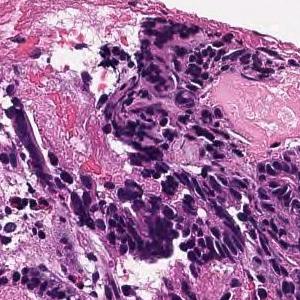
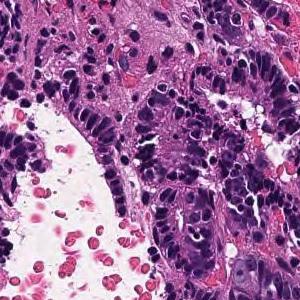
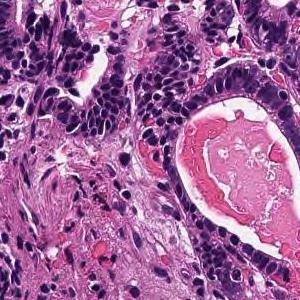
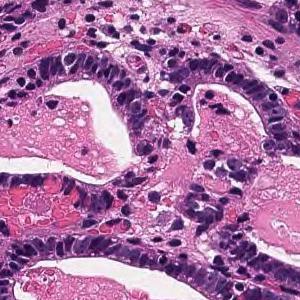
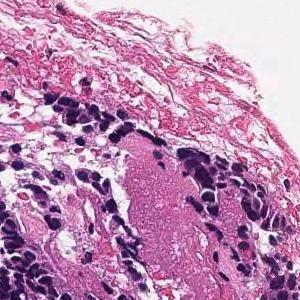
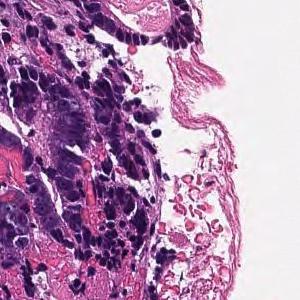
6 tiles cut from one stomach biopsy slide · scanned at ×20 · H&E.
Pathology report for the slide these tiles were cut from. The report and the diagnosis cover the entire slide, so not every feature they name need be visible here, and some tissue shown may not be tumor.
From the superficial epithelium to the muscularis mucosae, tumor tissue consisting of medium-sized and irregular glandular ducts infiltrating is observed. Well differentiated tubular adenocarcinoma
